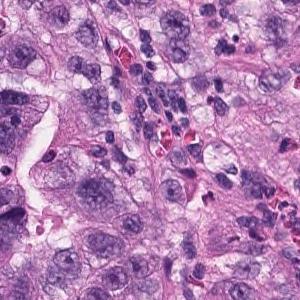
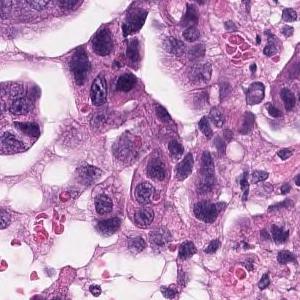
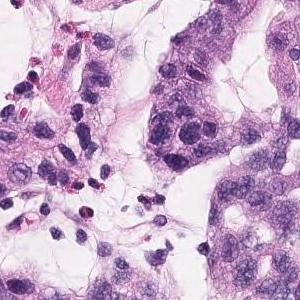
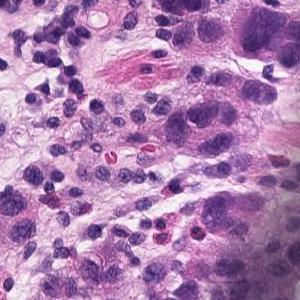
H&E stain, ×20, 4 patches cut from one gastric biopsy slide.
Pathology report for the slide these tiles were cut from. Both the report and the diagnosis are for the whole slide: these tiles need not show every feature named, and some of the tissue shown may not be tumor.
Atypical l cells with atypical nuclei forming diffuse or small irregular atypical ducts and growing. Moderately to poorly differentiated adenocarcinoma (poorly differentiated adenocarcinoma, solid type, moderately differentiated tubular adenocarcinoma)
Histological subtype: Moderately to poorly differentiated adenocarcinoma.
The solid type named here is a Japanese Classification of Gastric Carcinoma category; WHO 2019 calls it tubular adenocarcinoma, poorly differentiated.
